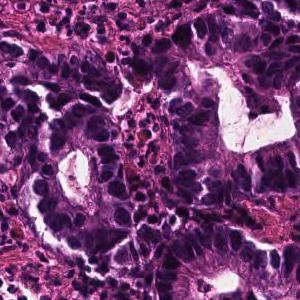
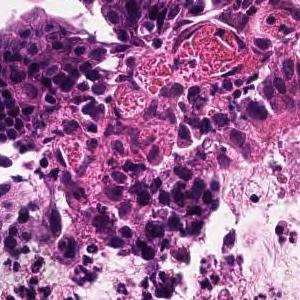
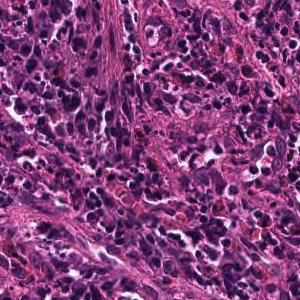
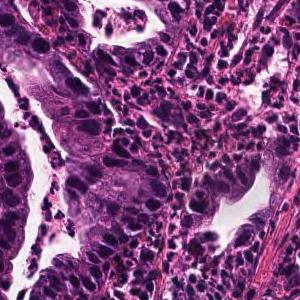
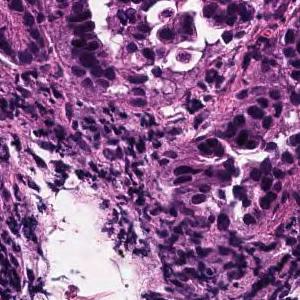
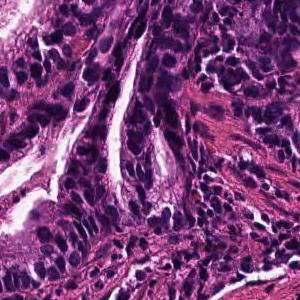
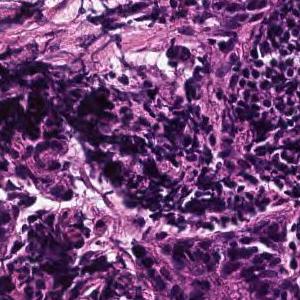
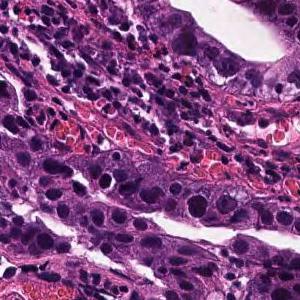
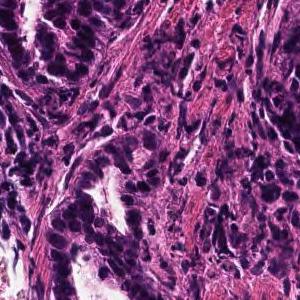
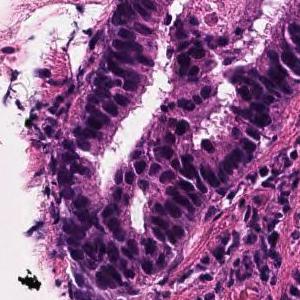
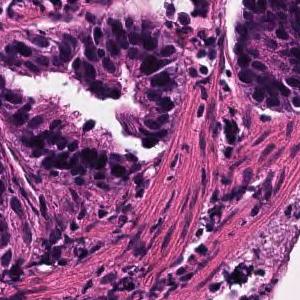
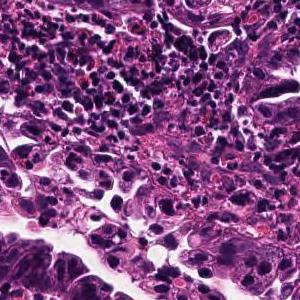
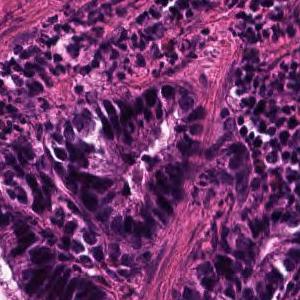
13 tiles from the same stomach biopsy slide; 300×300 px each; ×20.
Diagnostic report for the slide these tiles come from. What the report and the diagnosis say applies to the whole slide; these tiles may miss some of the features named and may include tissue that is not tumor.
Tumor tissue consisting of large papillary structures is found in the superficial epithelium. Papillary adenocarcinoma.
